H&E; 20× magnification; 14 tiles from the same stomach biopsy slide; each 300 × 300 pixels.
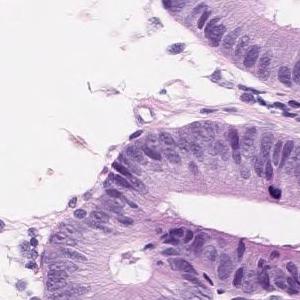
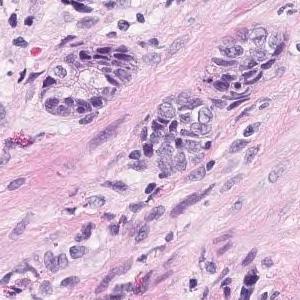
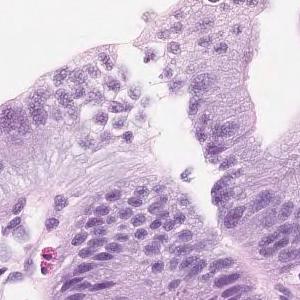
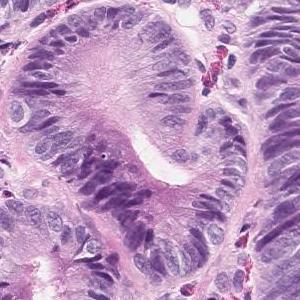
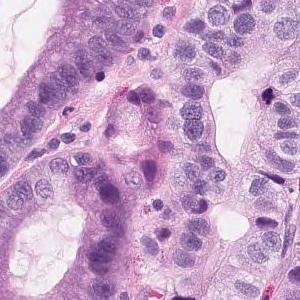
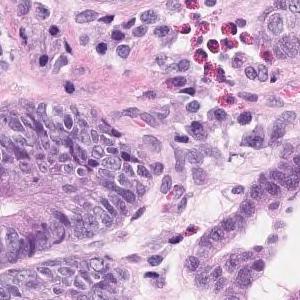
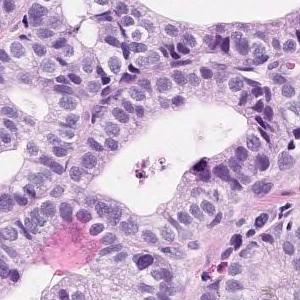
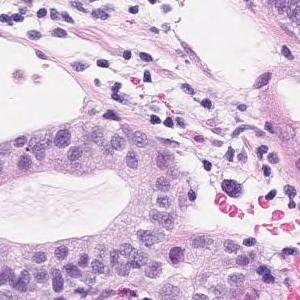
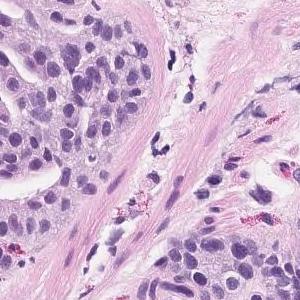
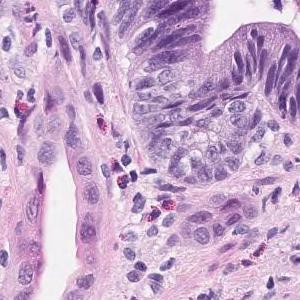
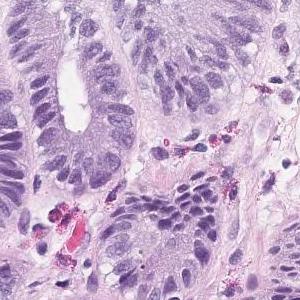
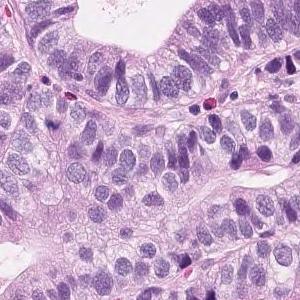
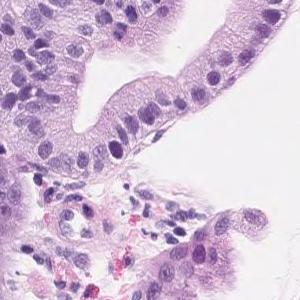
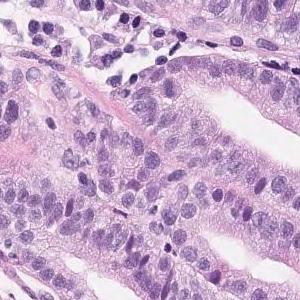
Diagnostic report for the slide these tiles come from. Both the report and the diagnosis are for the whole slide: these tiles need not show every feature named, and some of the tissue shown may not be tumor.
Short atypical epithelium with swelling of the nucleus shows proliferating, large and small irregular ductal structures. Well to moderately differentiated tubular adenocarcinoma (well differentiated tubular adenocarcinoma-moderately differentiated tubular adenocarcinoma)
Classified as well to moderately differentiated tubular adenocarcinoma.
